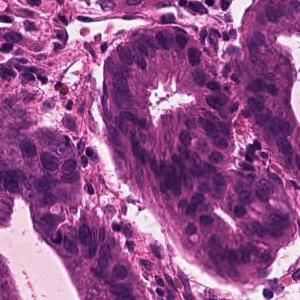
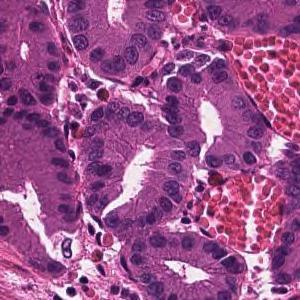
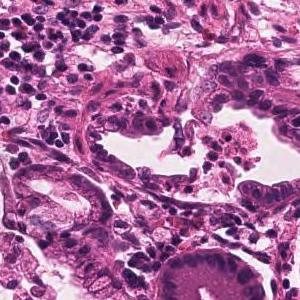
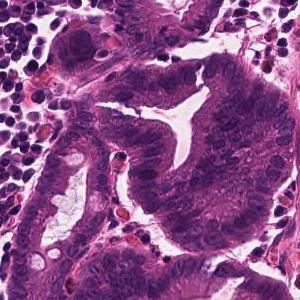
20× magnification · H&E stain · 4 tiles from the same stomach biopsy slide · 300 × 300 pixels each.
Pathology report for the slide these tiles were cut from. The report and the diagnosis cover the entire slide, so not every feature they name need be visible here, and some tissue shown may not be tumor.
Infiltrating tumor tissue with medium-sized, irregular ductal structure or large papillary appearance is observed. Well differentiated tubular adenocarcinoma
